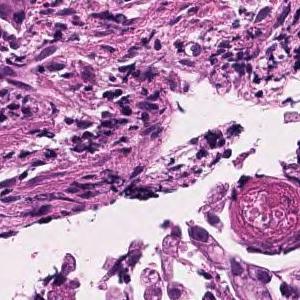
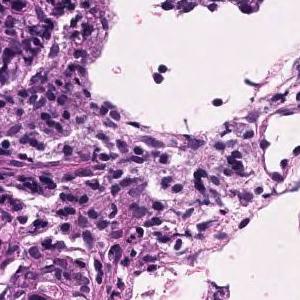
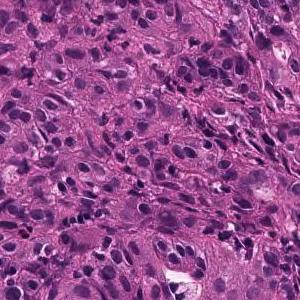
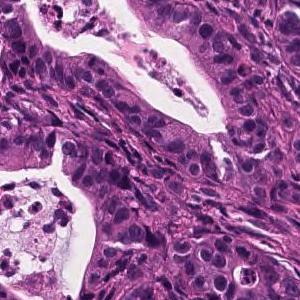
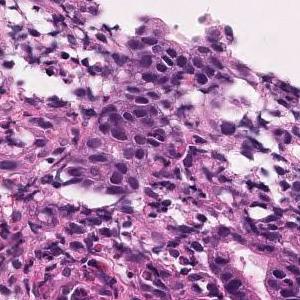
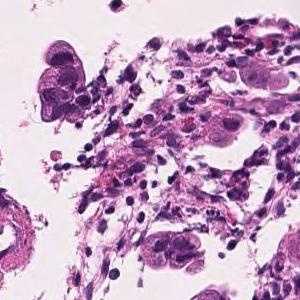
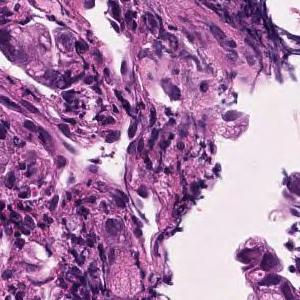
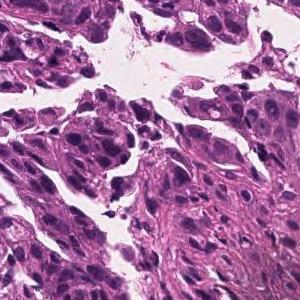
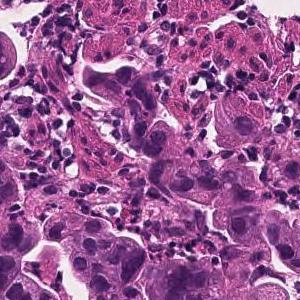
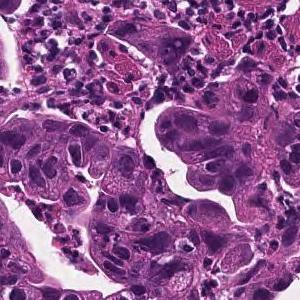
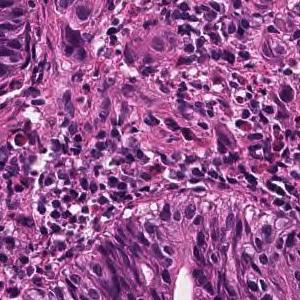
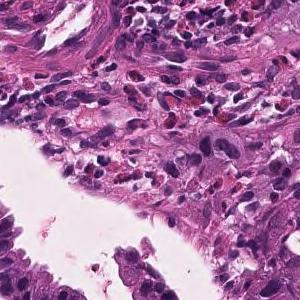
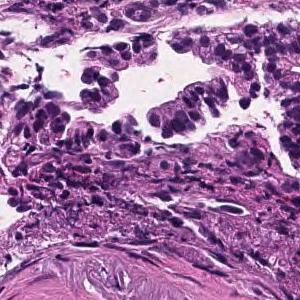
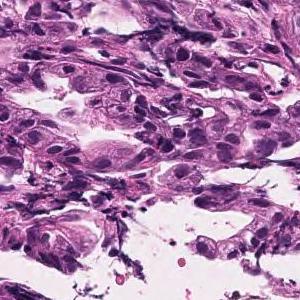
14 tiles cut from one stomach biopsy slide, each 300 × 300 pixels, H&E stain.
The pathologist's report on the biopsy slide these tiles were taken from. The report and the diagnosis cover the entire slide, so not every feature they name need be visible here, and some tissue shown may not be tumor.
Tumor tissue consisting of medium-sized, cord-like or irregular glandular infiltration is observed in the superficial epithelium. Poorly differentiated adenocarcinoma, non-solid type or moderately differentiated tubular adenocarcinoma
The non-solid type named here is a Japanese Classification of Gastric Carcinoma category.
